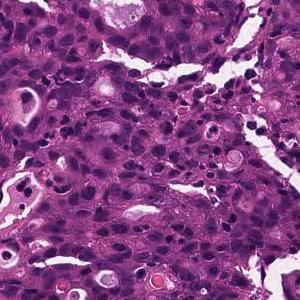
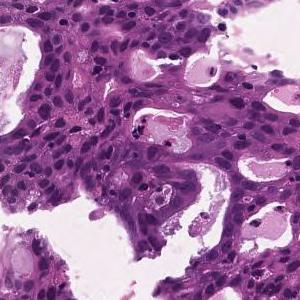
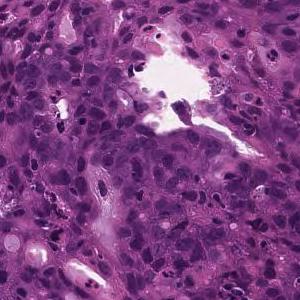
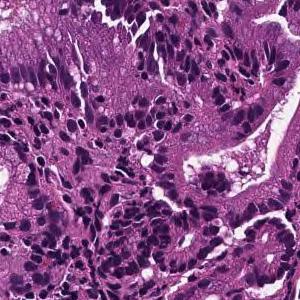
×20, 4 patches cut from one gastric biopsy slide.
Pathology report for the slide these tiles were cut from. The report and the diagnosis cover the entire slide, so not every feature they name need be visible here, and some tissue shown may not be tumor.
Cells with atypical nuclei are densely hyperplasia while forming sieve-like ducts of various sizes. moderately differentiated tubular adenocarcinoma
